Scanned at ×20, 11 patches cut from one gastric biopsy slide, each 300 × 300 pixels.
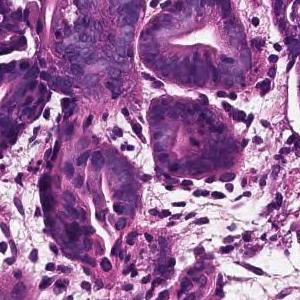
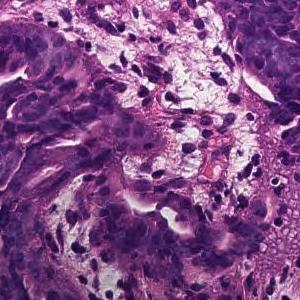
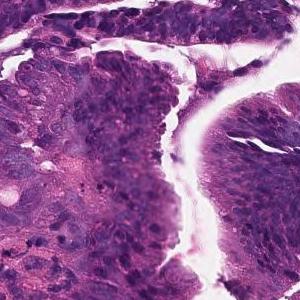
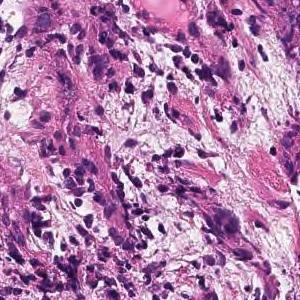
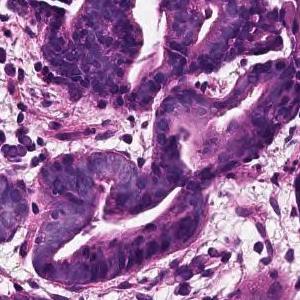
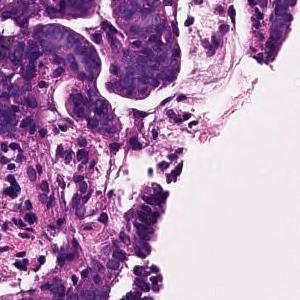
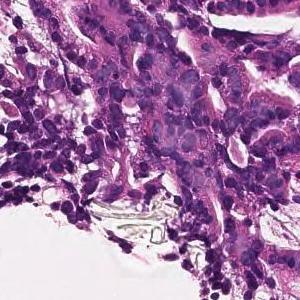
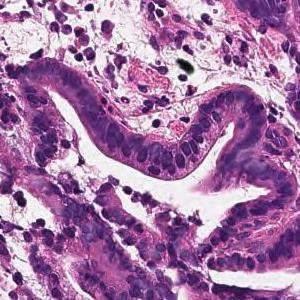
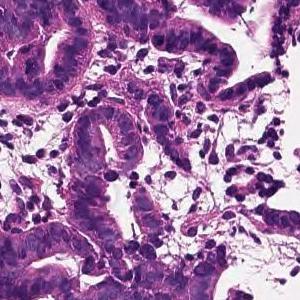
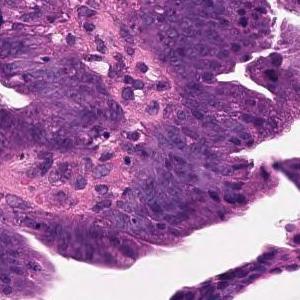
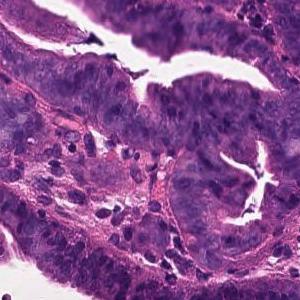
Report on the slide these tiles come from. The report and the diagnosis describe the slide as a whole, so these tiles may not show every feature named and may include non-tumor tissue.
Tumor cells are large, highly columnar, large club-shaped nuclei, and are associated with chromatin aggregation. Papillary adenocarcinoma.
